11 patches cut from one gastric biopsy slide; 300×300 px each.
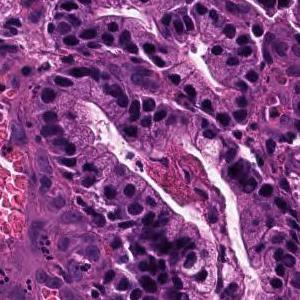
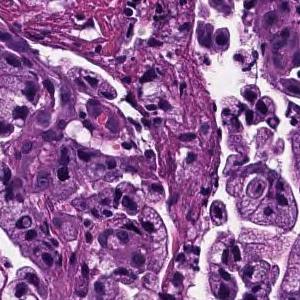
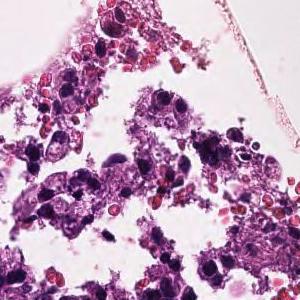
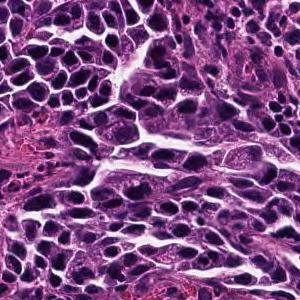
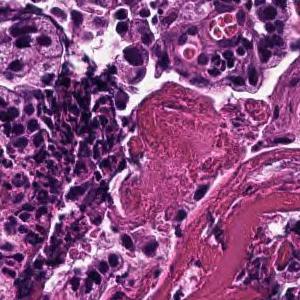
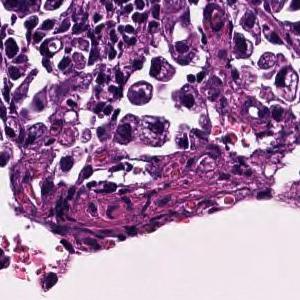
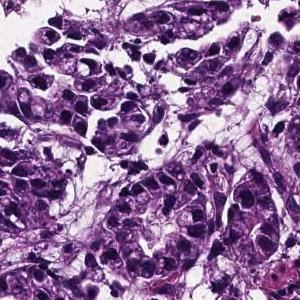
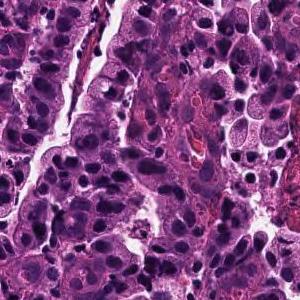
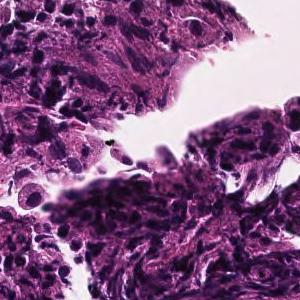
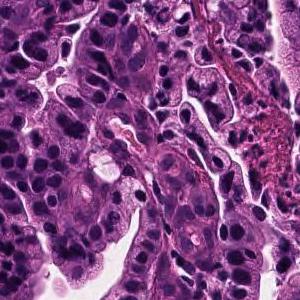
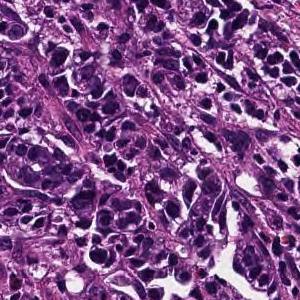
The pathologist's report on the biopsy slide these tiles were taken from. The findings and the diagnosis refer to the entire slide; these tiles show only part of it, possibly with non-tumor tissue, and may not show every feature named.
Tumor cells are large, highly columnar, large club-shaped nuclei, and are associated with chromatin aggregation. Papillary adenocarcinoma.
